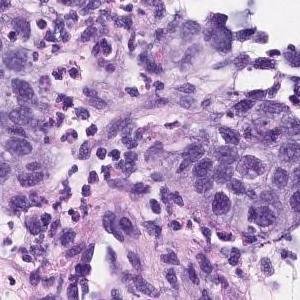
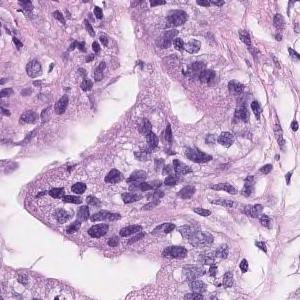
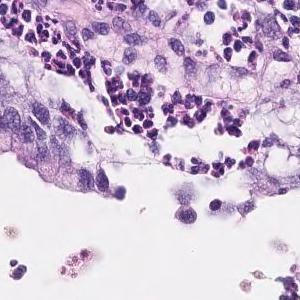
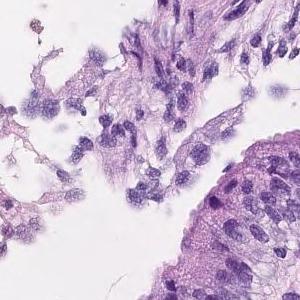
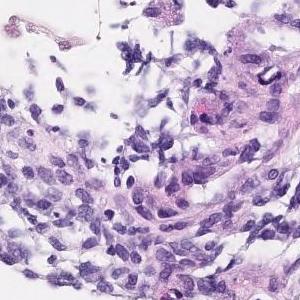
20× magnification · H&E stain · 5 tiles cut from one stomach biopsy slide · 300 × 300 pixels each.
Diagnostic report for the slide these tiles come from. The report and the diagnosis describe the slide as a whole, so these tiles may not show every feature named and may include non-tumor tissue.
Tumor cells are large, highly columnar, large club-shaped nuclei, and are associated with chromatin aggregation. Papillary adenocarcinoma.
